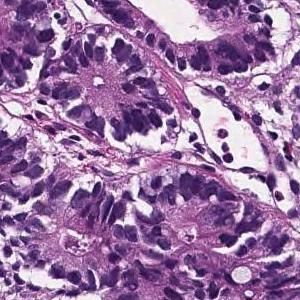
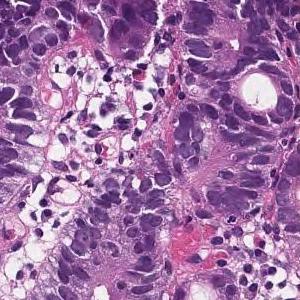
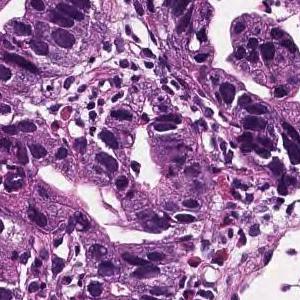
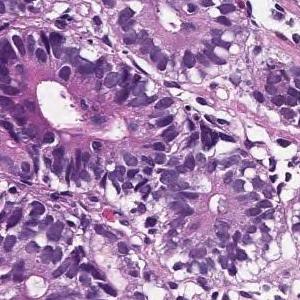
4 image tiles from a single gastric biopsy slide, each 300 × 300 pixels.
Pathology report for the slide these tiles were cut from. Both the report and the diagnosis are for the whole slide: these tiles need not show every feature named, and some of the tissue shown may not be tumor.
On the superficial epithelium, tumor tissue consisting of large, irregular glandular ducts partially fused and infiltrated is observed. Well to moderately differentiated tubular adenocarcinoma (well differentiated tubular adenocarcinoma, moderately differentiated tubular adenocarcinoma)
Subtype: Well to moderately differentiated tubular adenocarcinoma.
